8 patches cut from one gastric biopsy slide, each 300 × 300 pixels.
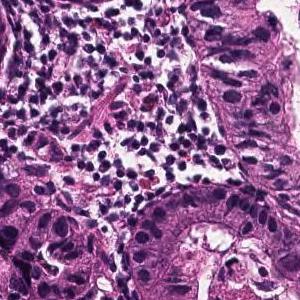
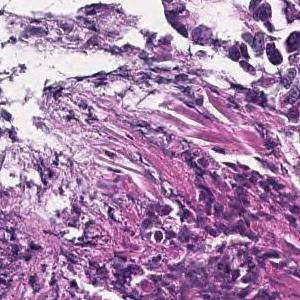
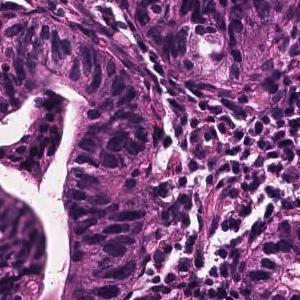
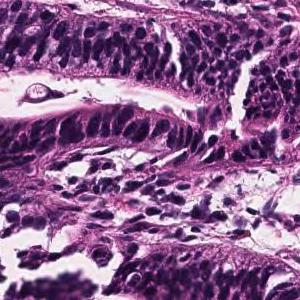
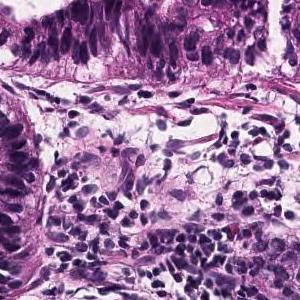
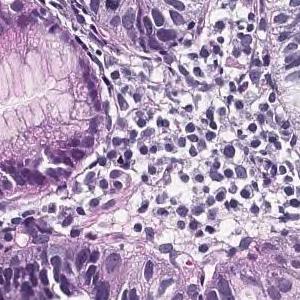
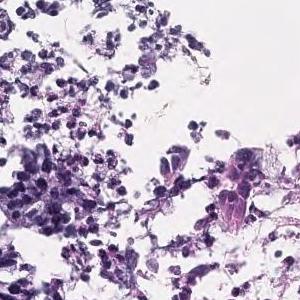
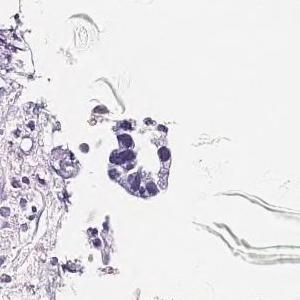
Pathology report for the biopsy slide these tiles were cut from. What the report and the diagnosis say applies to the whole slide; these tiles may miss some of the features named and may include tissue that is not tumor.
Tumor cells are large, highly columnar, large club-shaped nuclei, and are associated with chromatin aggregation. Papillary adenocarcinoma.
